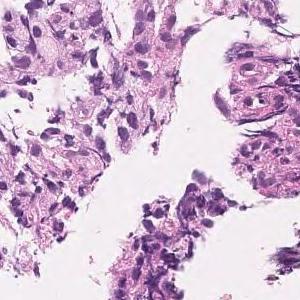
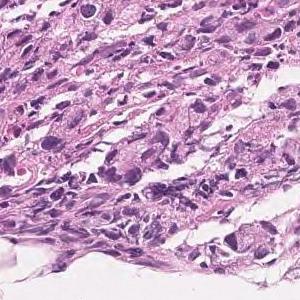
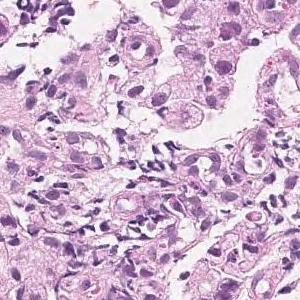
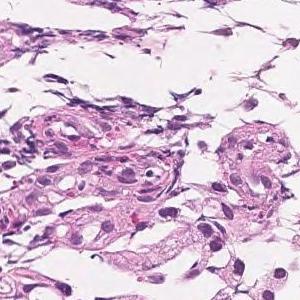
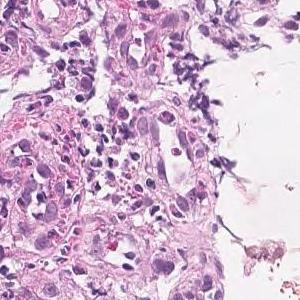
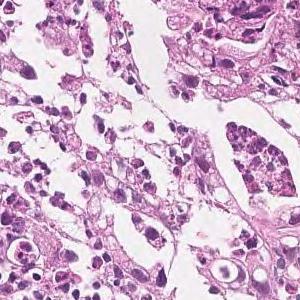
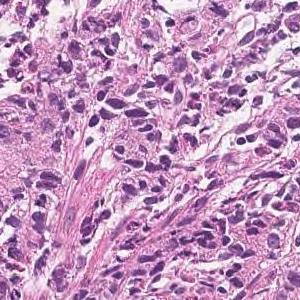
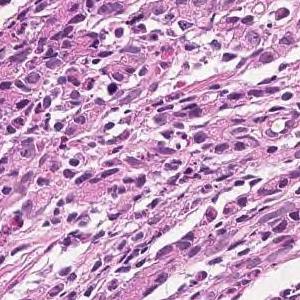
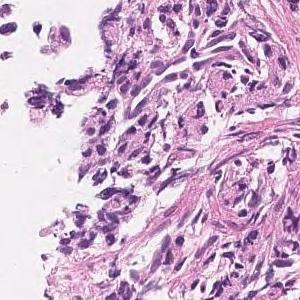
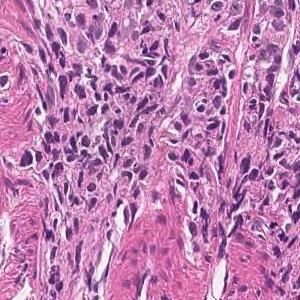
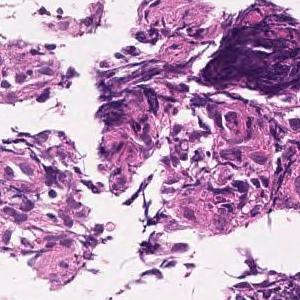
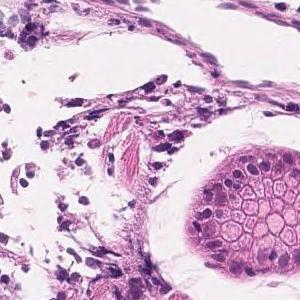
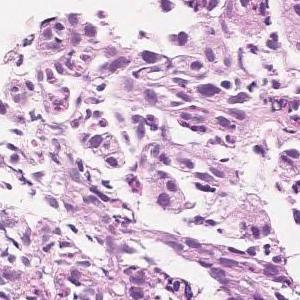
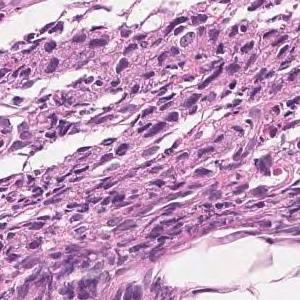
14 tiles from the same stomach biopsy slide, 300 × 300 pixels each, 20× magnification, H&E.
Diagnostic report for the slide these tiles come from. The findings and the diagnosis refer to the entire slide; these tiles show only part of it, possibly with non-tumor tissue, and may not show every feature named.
In the superficial epithelium, medium to small, irregular glandular ducts are formed, and in some parts, the glandular ducts are fused, and in other parts, small cord-like infiltrating tumor tissue is observed. Moderately to poorly differentiated adenocarcinoma.
